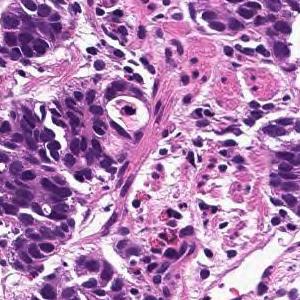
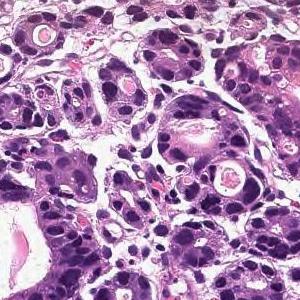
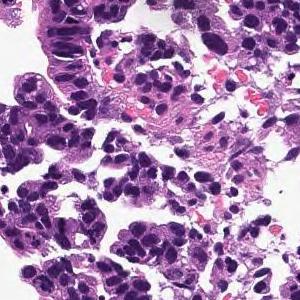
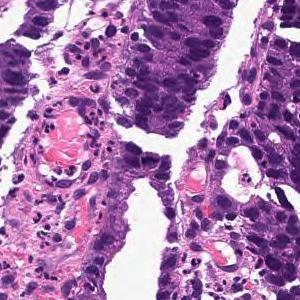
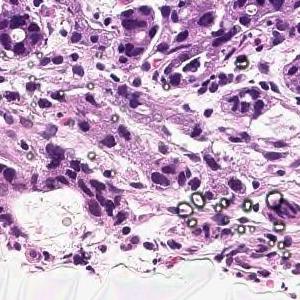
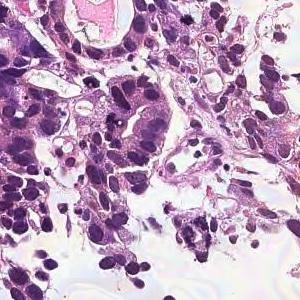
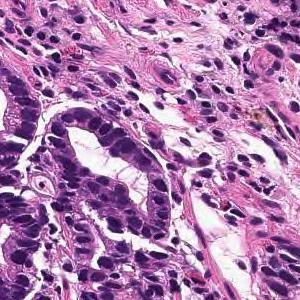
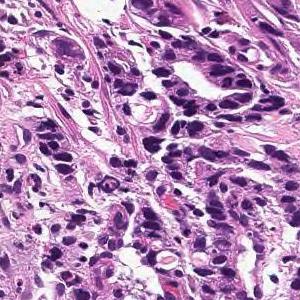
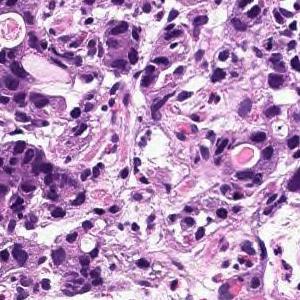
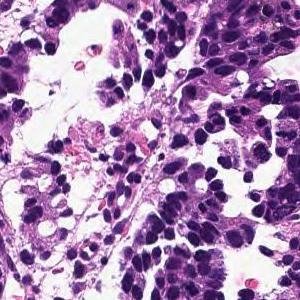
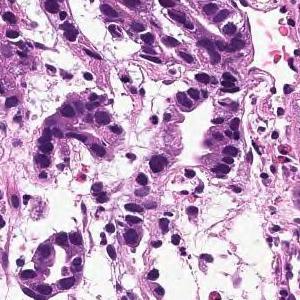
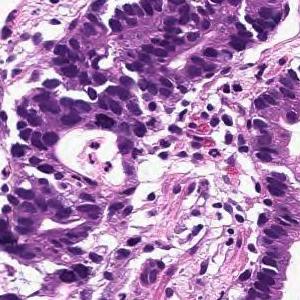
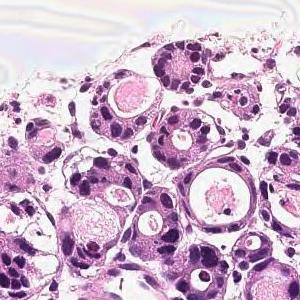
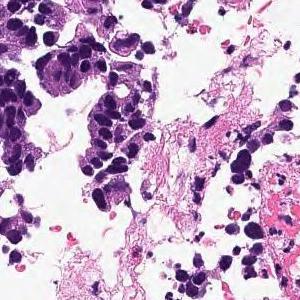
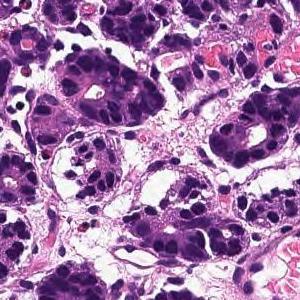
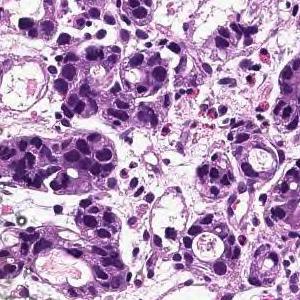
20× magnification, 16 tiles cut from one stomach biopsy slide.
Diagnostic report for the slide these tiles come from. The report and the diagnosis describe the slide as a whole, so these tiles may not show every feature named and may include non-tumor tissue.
In the superficial epithelium, tumor tissue that invades by forming medium-sized to small, irregular ducts is observed. moderately differentiated tubular adenocarcinoma.
